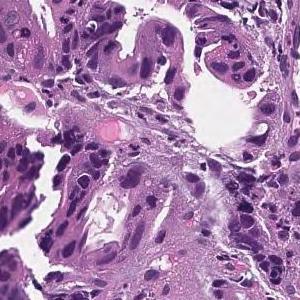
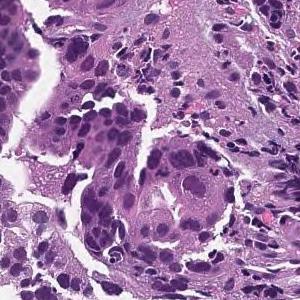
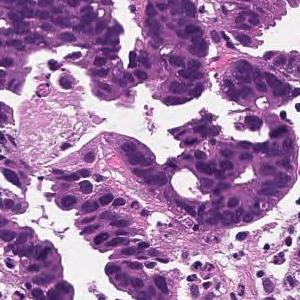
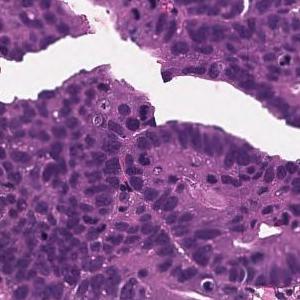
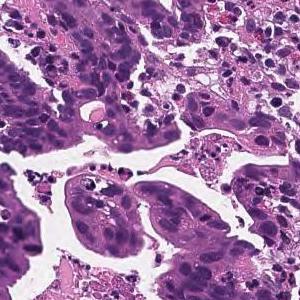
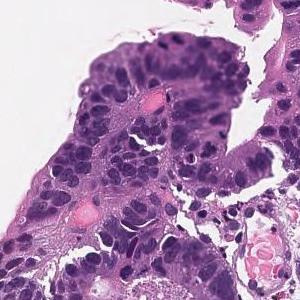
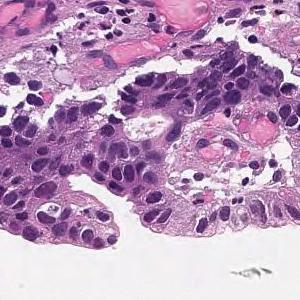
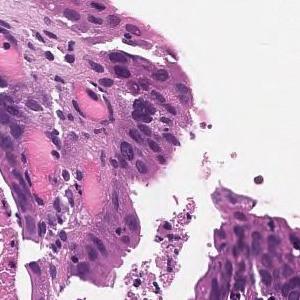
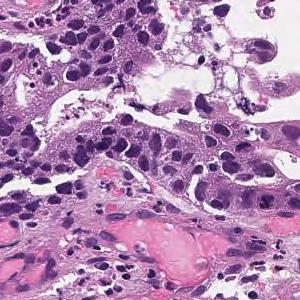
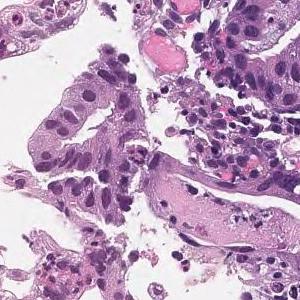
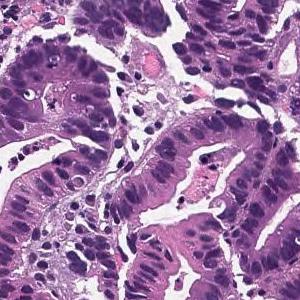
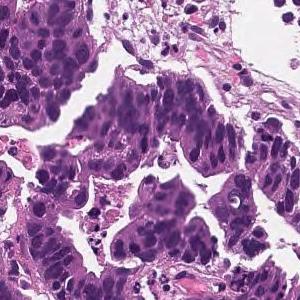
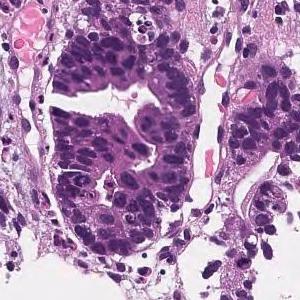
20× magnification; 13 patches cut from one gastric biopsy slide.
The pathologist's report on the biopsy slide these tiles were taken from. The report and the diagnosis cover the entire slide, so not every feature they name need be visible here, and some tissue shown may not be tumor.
In the superficial epithelium, tumor tissue that invades by forming medium-sized to small, irregular ducts is observed. moderately differentiated tubular adenocarcinoma.
